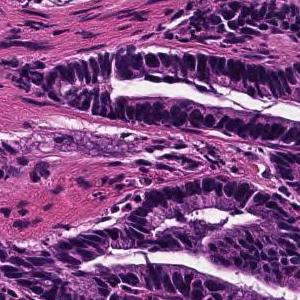
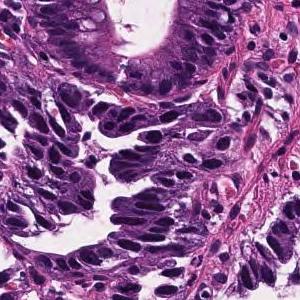
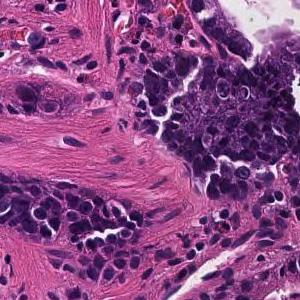
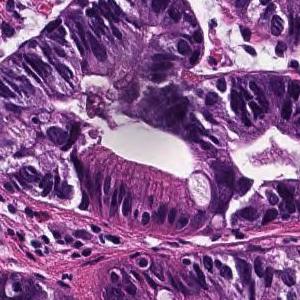
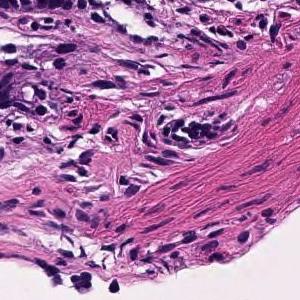
5 tiles cut from one stomach biopsy slide; 300 × 300 pixels each; H&E stain; ×20.
Pathology report for the biopsy slide these tiles were cut from. The report and the diagnosis describe the slide as a whole, so these tiles may not show every feature named and may include non-tumor tissue.
Tumor cells are large, highly columnar, large club-shaped nuclei, and are associated with chromatin aggregation. Papillary adenocarcinoma.
